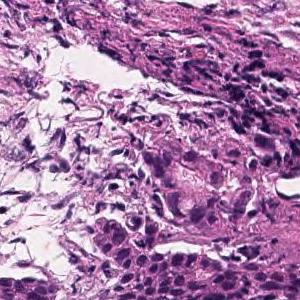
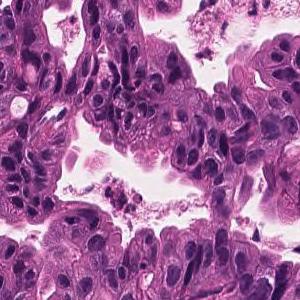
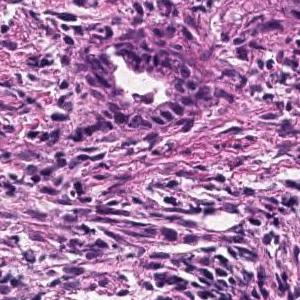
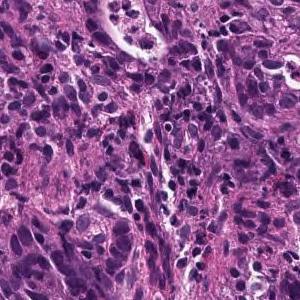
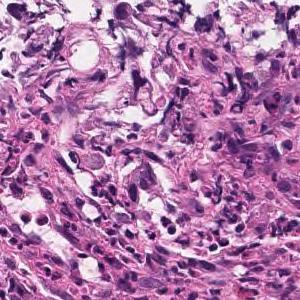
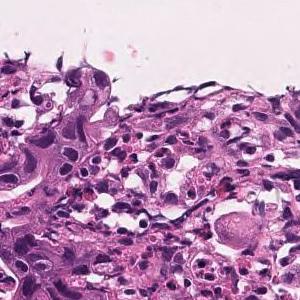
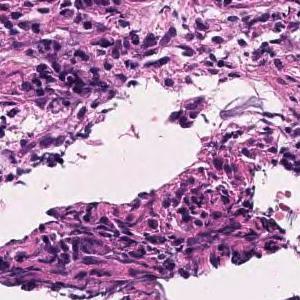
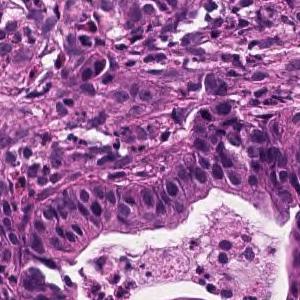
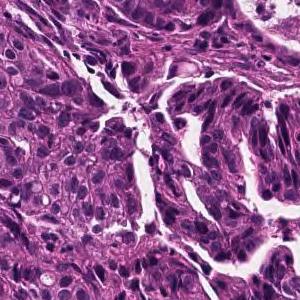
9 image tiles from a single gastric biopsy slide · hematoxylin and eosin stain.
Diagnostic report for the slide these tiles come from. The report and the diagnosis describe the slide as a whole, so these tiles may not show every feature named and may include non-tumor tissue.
Tumor tissue consisting of medium-sized, cord-like or irregular glandular infiltration is observed in the superficial epithelium. Poorly differentiated adenocarcinoma, non-solid type or moderately differentiated tubular adenocarcinoma
"Non-solid type" is a category of the Japanese Classification of Gastric Carcinoma.
